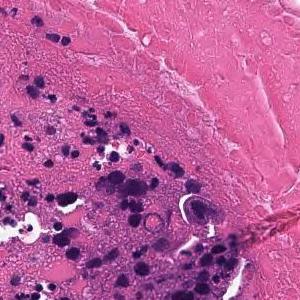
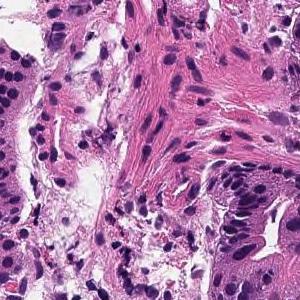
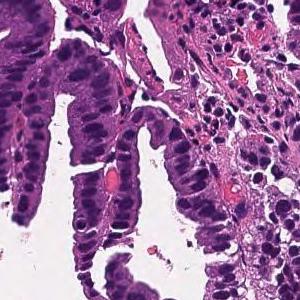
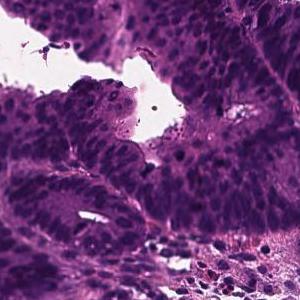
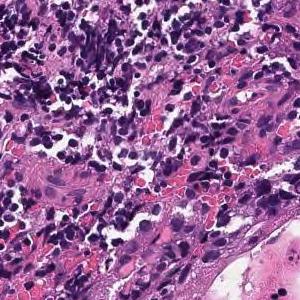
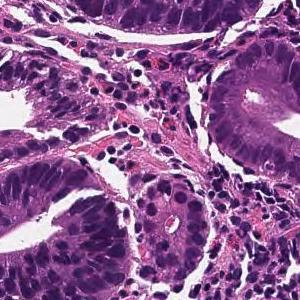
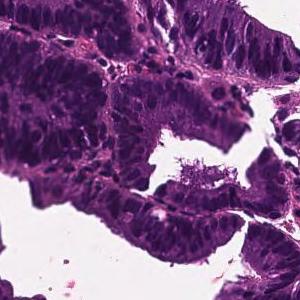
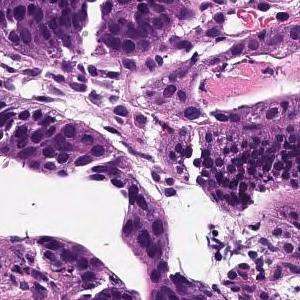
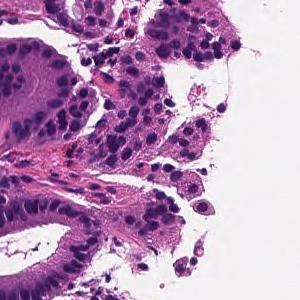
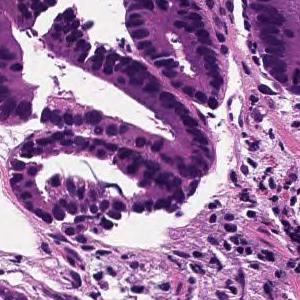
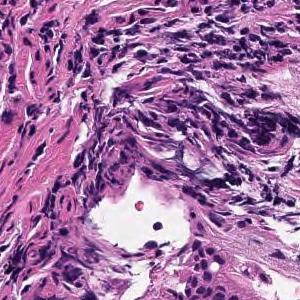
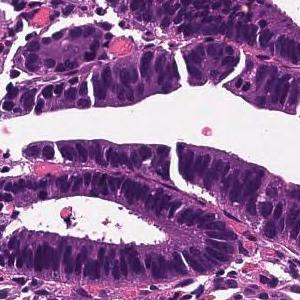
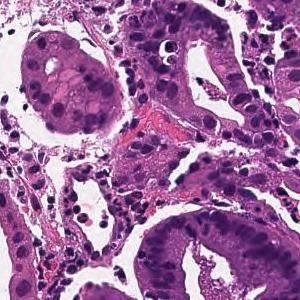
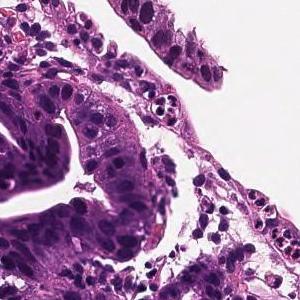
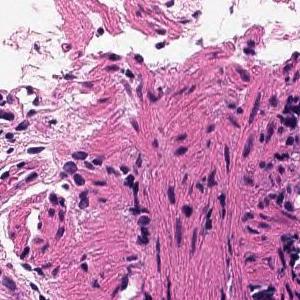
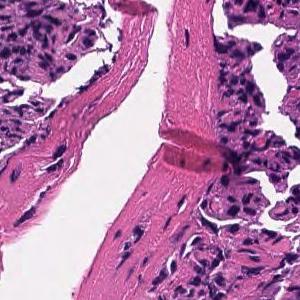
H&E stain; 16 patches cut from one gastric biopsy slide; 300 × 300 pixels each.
The pathologist's report on the biopsy slide these tiles were taken from. The report and the diagnosis cover the entire slide, so not every feature they name need be visible here, and some tissue shown may not be tumor.
Tumor cells are large, highly columnar, large club-shaped nuclei, and are associated with chromatin aggregation. Papillary adenocarcinoma.
